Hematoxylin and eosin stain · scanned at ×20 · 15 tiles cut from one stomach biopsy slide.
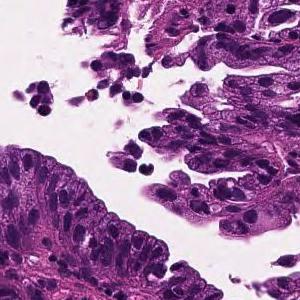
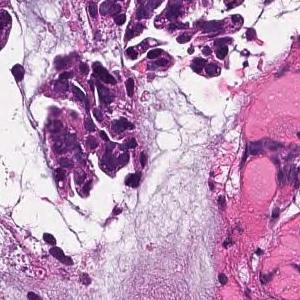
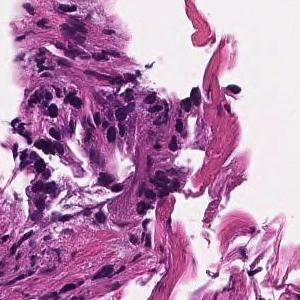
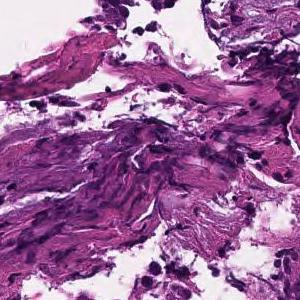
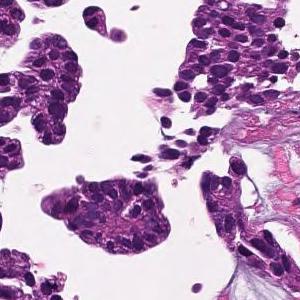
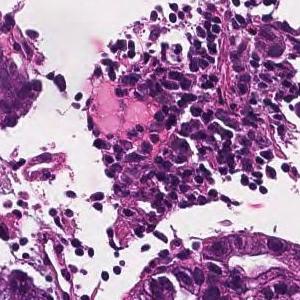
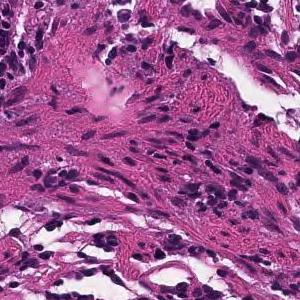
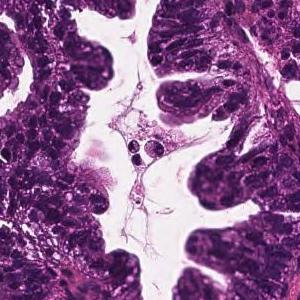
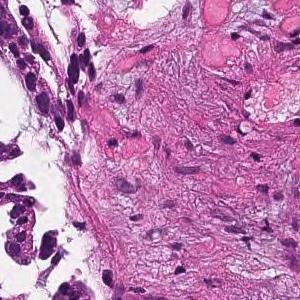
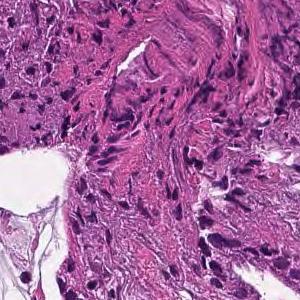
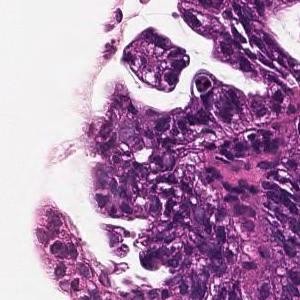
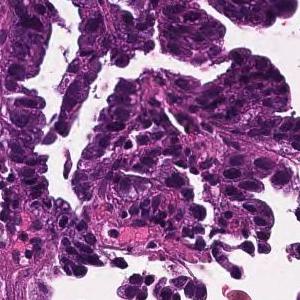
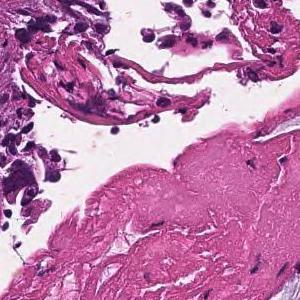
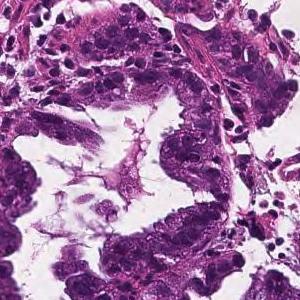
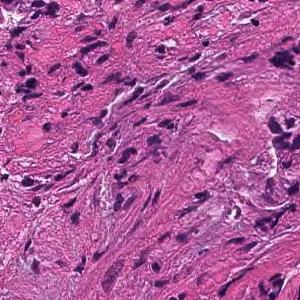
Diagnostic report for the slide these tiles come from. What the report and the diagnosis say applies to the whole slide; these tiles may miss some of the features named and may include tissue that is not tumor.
Tumor cells are large, highly columnar, large club-shaped nuclei, and are associated with chromatin aggregation. Papillary adenocarcinoma.
